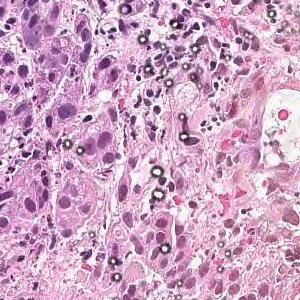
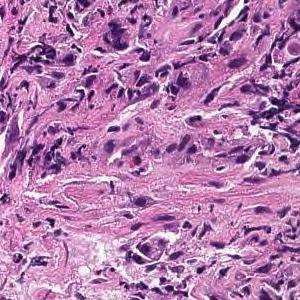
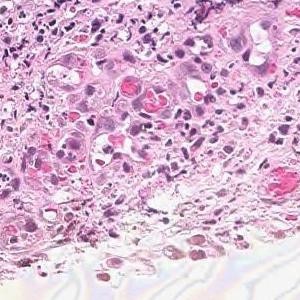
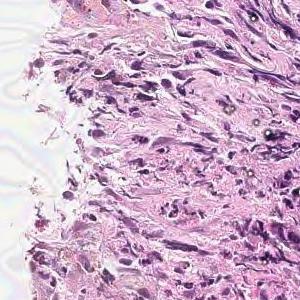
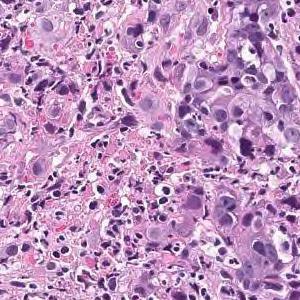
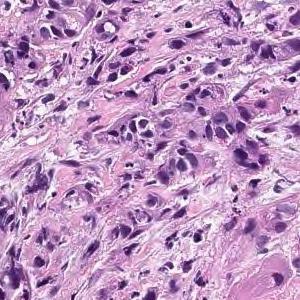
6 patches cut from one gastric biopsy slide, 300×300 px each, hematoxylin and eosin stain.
Diagnostic report for the slide these tiles come from. The report and the diagnosis cover the entire slide, so not every feature they name need be visible here, and some tissue shown may not be tumor.
Tumor tissue consisting of cord-like or small, irregular glandular ducts fused and infiltrated is observed in the superficial epithelium. Poorly differentiated adenocarcinoma, non-solid type
"Non-solid type" is a category of the Japanese Classification of Gastric Carcinoma.
